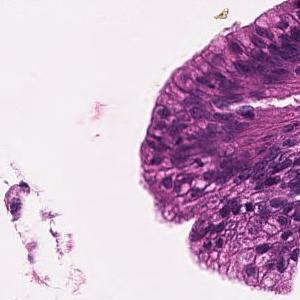
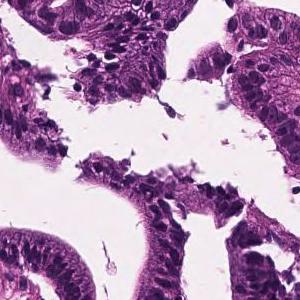
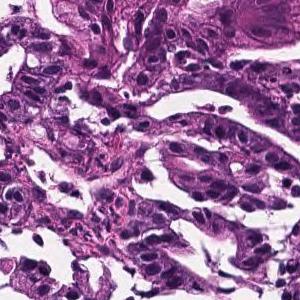
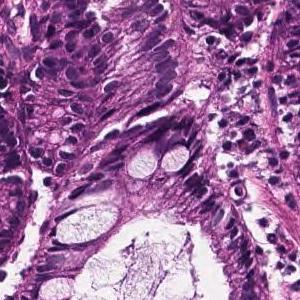
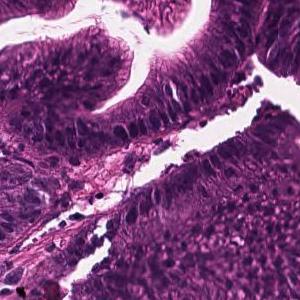
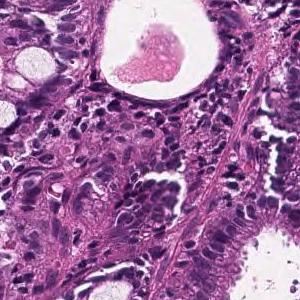
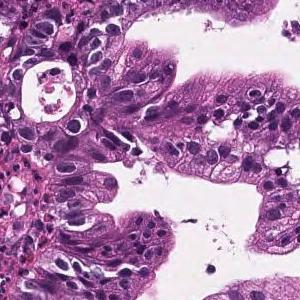
Scanned at ×20 · H&E stain · 7 tiles from the same stomach biopsy slide · each 300 × 300 pixels.
Pathology report for the biopsy slide these tiles were cut from. The findings and the diagnosis refer to the entire slide; these tiles show only part of it, possibly with non-tumor tissue, and may not show every feature named.
In the superficial epithelium, tumor tissue that invades by forming medium-sized to small, irregular ducts is observed. Well differentiated tubular adenocarcinoma.
